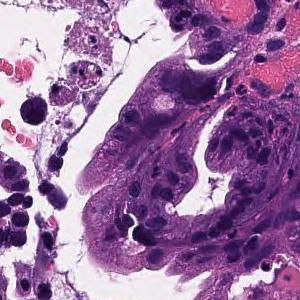
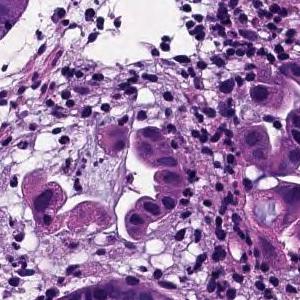
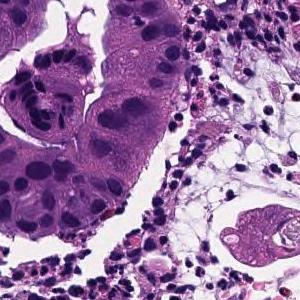
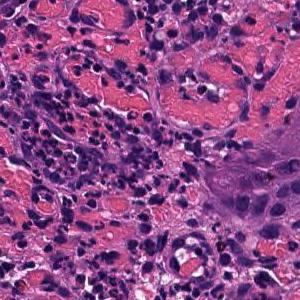
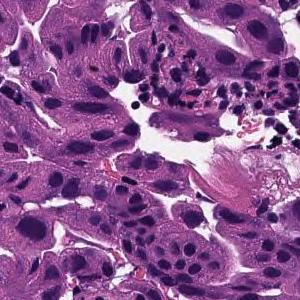
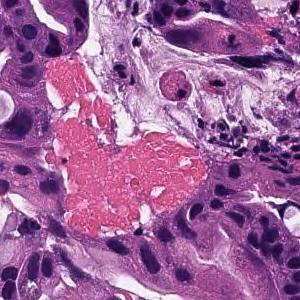
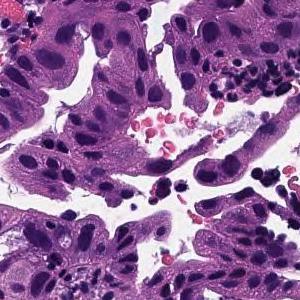
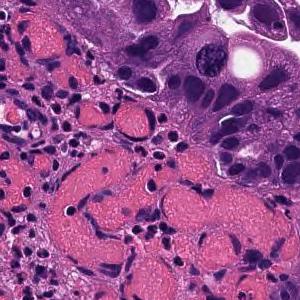
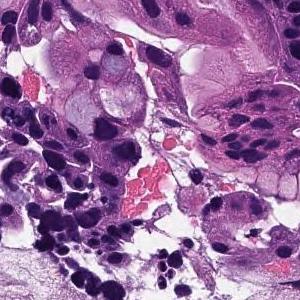
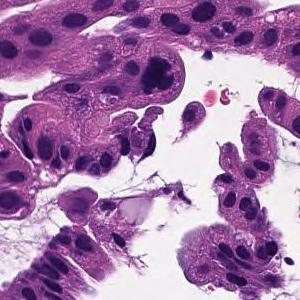
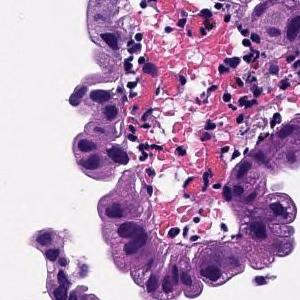
×20 · H&E stain · 11 patches cut from one gastric biopsy slide · 300×300 px each.
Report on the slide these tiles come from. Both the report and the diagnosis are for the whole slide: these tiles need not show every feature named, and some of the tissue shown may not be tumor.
Tumor tissue consisting of large papillary structures is found in the superficial epithelium. Papillary adenocarcinoma.
